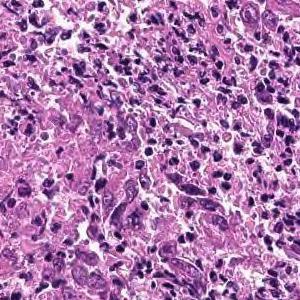
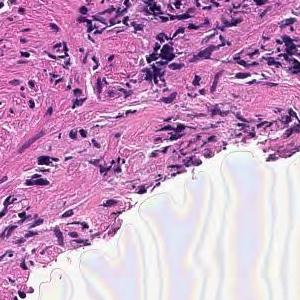
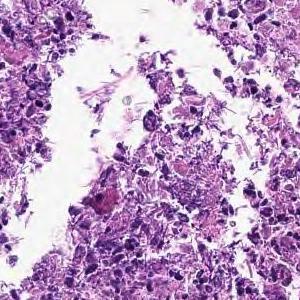
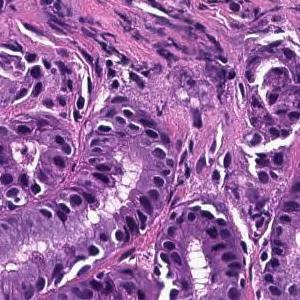
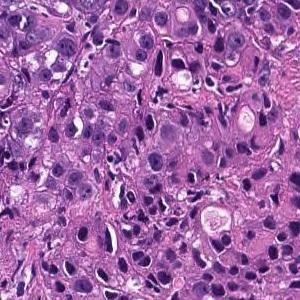
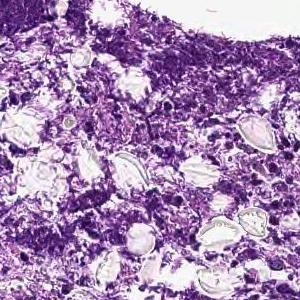
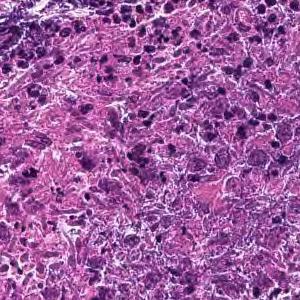
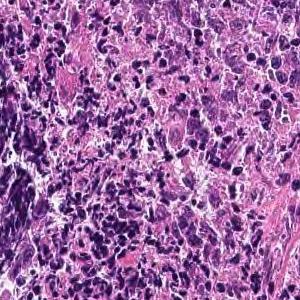
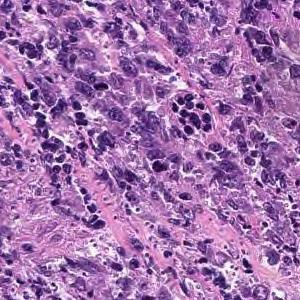
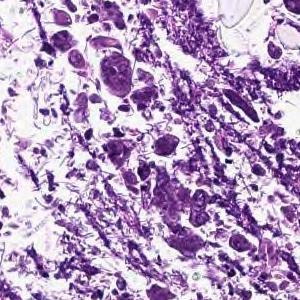
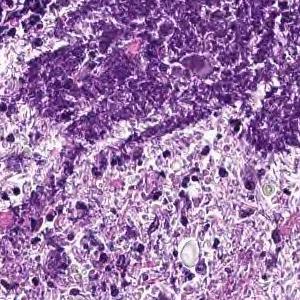
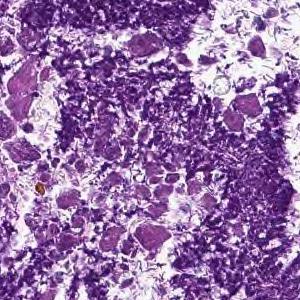
Hematoxylin and eosin stain · scanned at ×20 · 12 tiles cut from one stomach biopsy slide · 300 × 300 pixels each.
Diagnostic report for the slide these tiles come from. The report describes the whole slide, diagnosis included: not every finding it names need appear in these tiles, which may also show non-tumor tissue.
Cancers with polygonal nuclei do not show glandular formation and are densely, in part, cord-like and proliferate. Poorly differentiated adenocarcinoma
Subtype: Poorly differentiated adenocarcinoma, non-solid type.
The non-solid type named here is a Japanese Classification of Gastric Carcinoma category.
